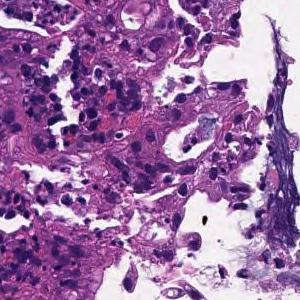
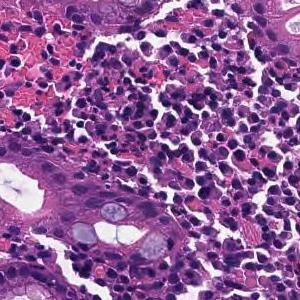
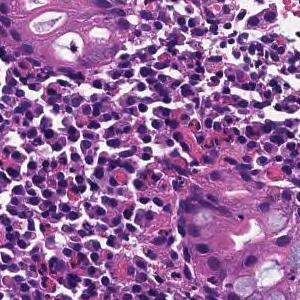
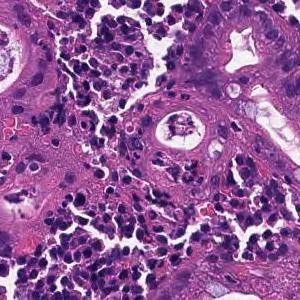
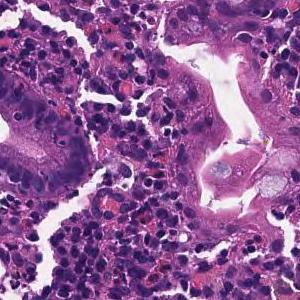
5 tiles cut from one stomach biopsy slide; 300×300 px each; H&E; 20× magnification.
The pathologist's report on the biopsy slide these tiles were taken from. The report and the diagnosis cover the entire slide, so not every feature they name need be visible here, and some tissue shown may not be tumor.
In the superficial epithelium, tumor tissue that invades by forming medium-sized to small, irregular ducts is observed. moderately differentiated tubular adenocarcinoma.
